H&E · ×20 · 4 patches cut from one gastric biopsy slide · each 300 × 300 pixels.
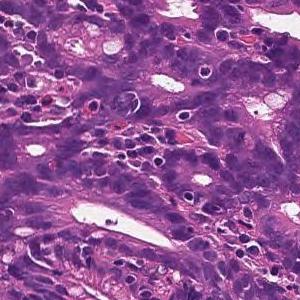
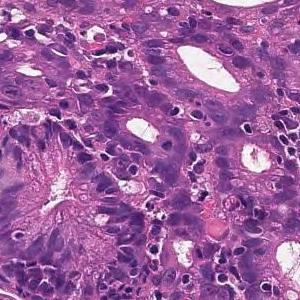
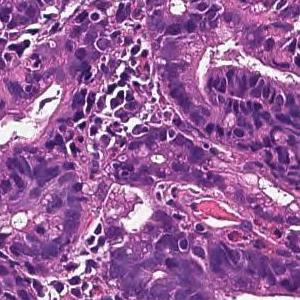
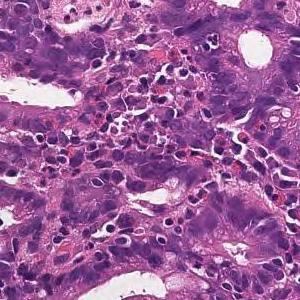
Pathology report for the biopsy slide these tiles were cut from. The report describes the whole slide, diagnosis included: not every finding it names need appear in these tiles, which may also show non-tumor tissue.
From the superficial epithelium to the muscularis mucosae, tumor tissue consisting of medium-sized and irregular glandular ducts infiltrating is observed. Well differentiated tubular adenocarcinoma
